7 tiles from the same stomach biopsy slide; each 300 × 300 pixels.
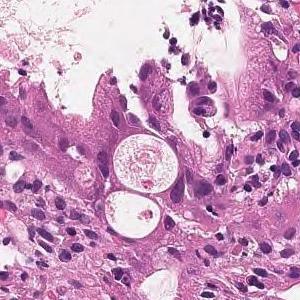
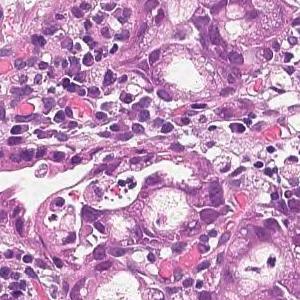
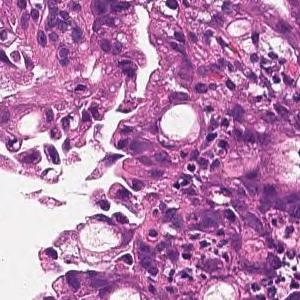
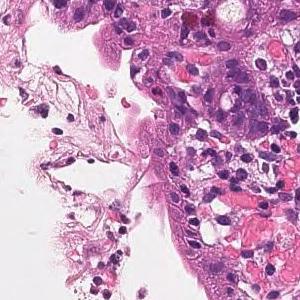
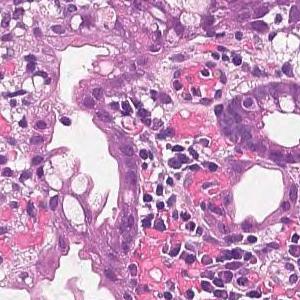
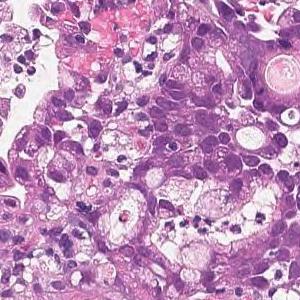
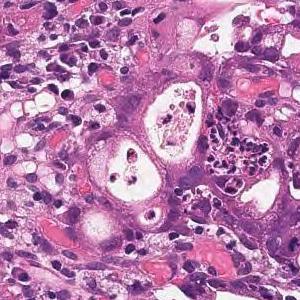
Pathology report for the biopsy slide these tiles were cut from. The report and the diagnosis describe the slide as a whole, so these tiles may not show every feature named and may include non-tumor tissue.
In the superficial epithelium, tumor tissue that invades by forming medium-sized to small, irregular ducts is observed. moderately differentiated tubular adenocarcinoma.
